16 image tiles from a single gastric biopsy slide; 300 × 300 pixels each; H&E; ×20.
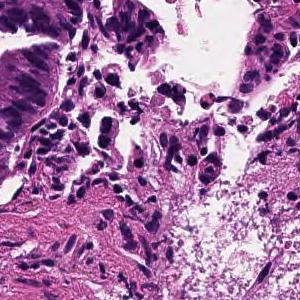
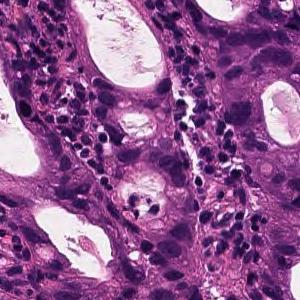
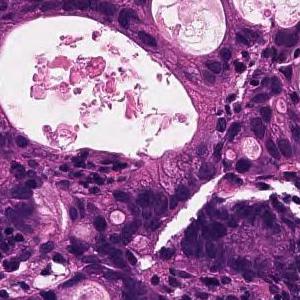
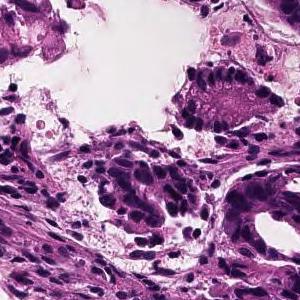
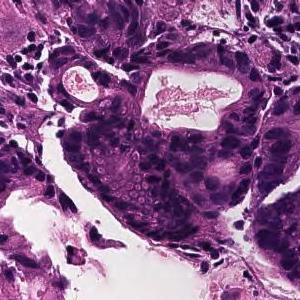
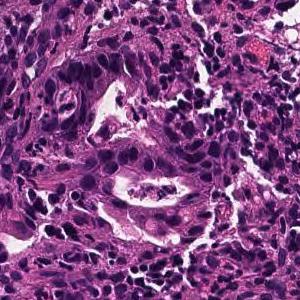
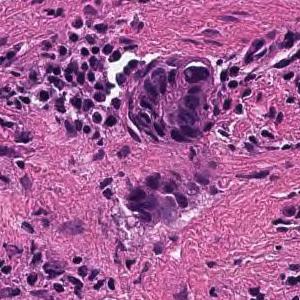
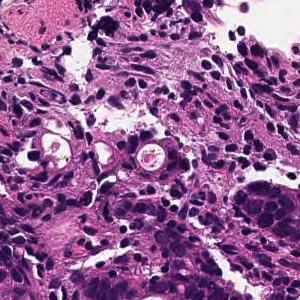
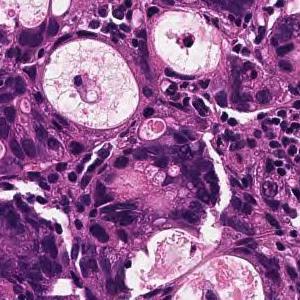
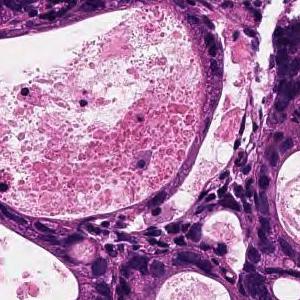
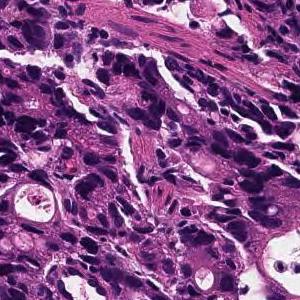
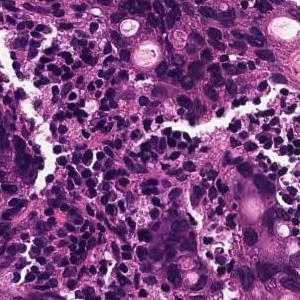
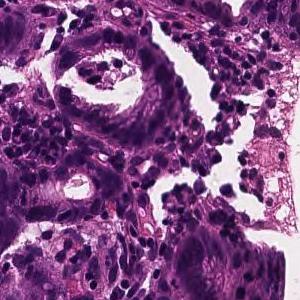
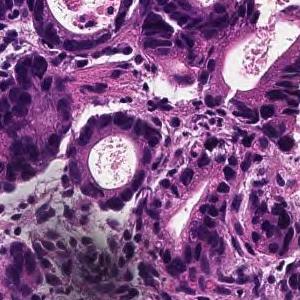
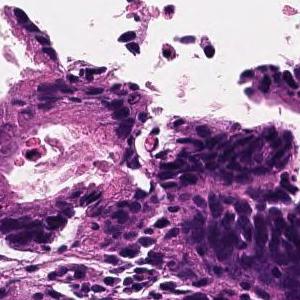
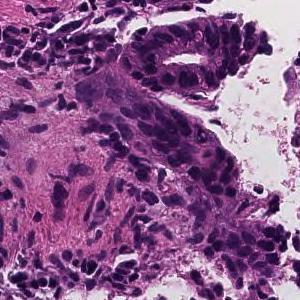
Pathology report for the slide these tiles were cut from. The report and the diagnosis cover the entire slide, so not every feature they name need be visible here, and some tissue shown may not be tumor.
In the superficial epithelium, tumor tissue that invades by forming medium-sized to small, irregular ducts is observed. moderately differentiated tubular adenocarcinoma.
